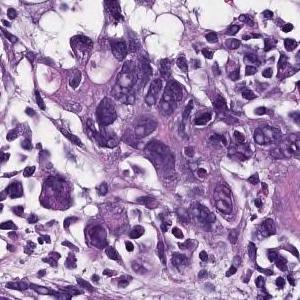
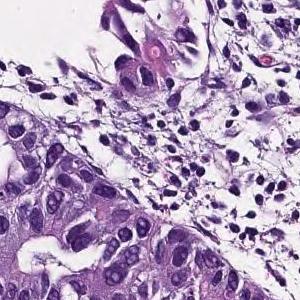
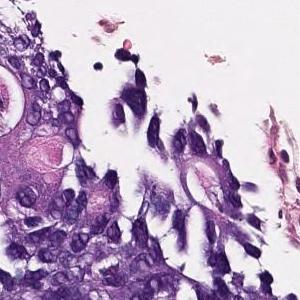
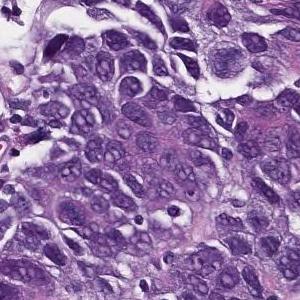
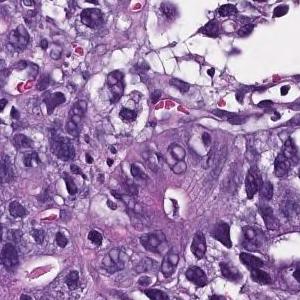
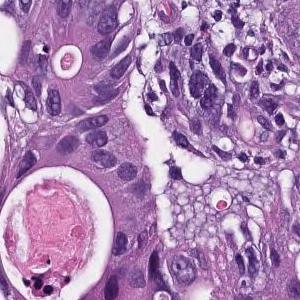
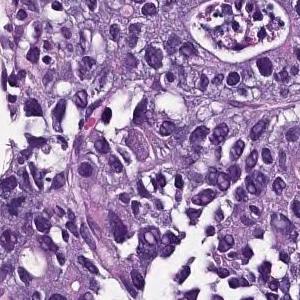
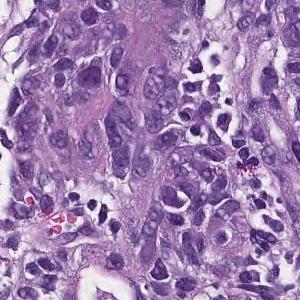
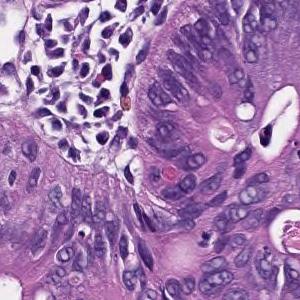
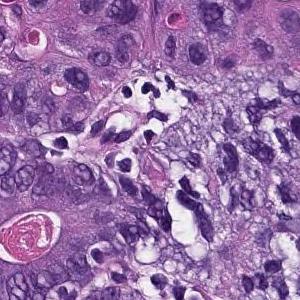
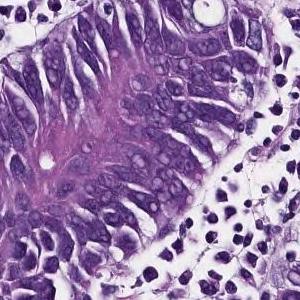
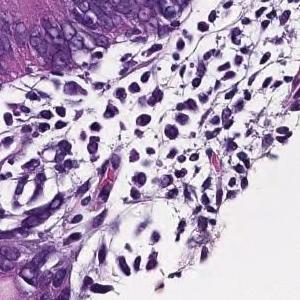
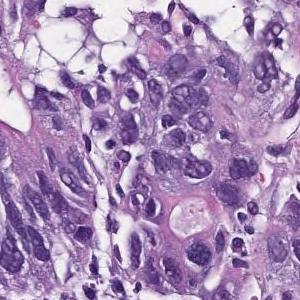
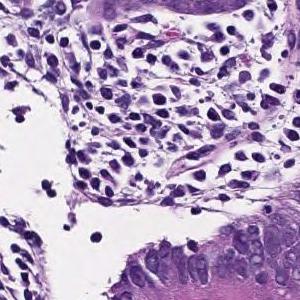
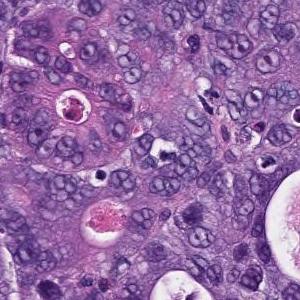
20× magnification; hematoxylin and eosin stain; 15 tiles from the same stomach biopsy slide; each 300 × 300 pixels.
The pathologist's report on the biopsy slide these tiles were taken from. The report and the diagnosis describe the slide as a whole, so these tiles may not show every feature named and may include non-tumor tissue.
In the superficial epithelium, tumor tissue that invades by forming medium-sized to small, irregular ducts is observed. moderately differentiated tubular adenocarcinoma.
